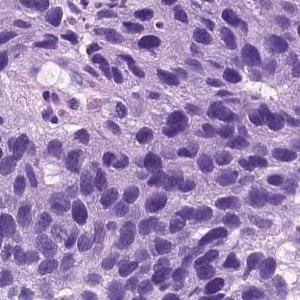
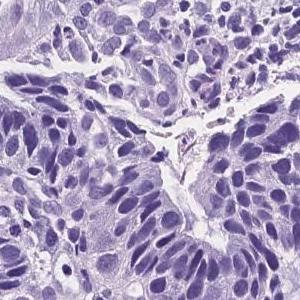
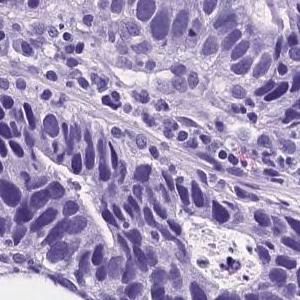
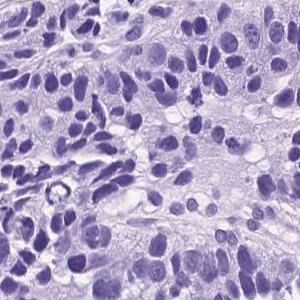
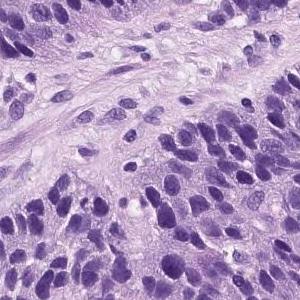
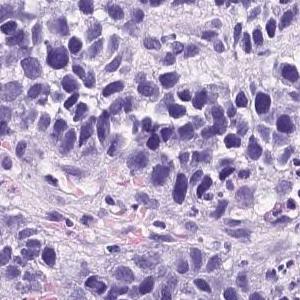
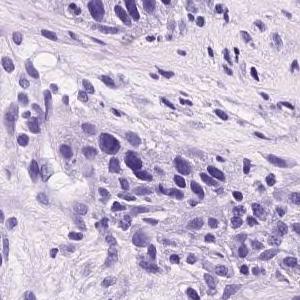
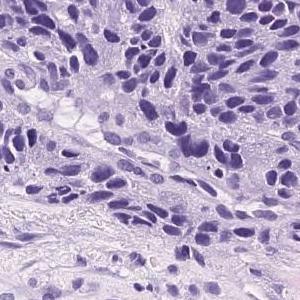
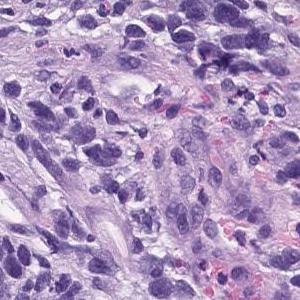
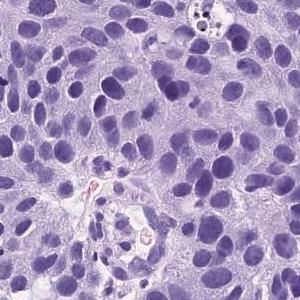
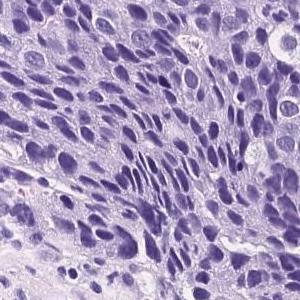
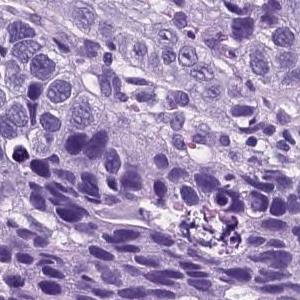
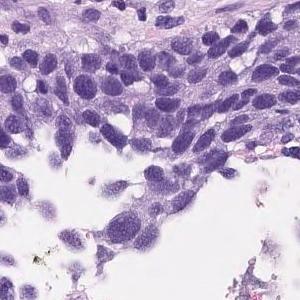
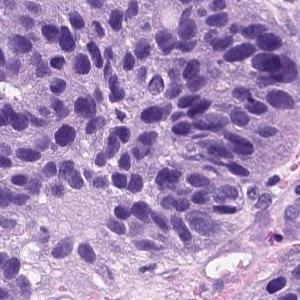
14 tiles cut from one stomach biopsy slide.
Diagnostic report for the slide these tiles come from. The report describes the whole slide, diagnosis included: not every finding it names need appear in these tiles, which may also show non-tumor tissue.
Atypical cells with atypical nuclei forming small irregular atypical ducts and growing in a conformative manner. moderately differentiated tubular adenocarcinoma
Labeled in the dataset as moderately to poorly differentiated adenocarcinoma.
